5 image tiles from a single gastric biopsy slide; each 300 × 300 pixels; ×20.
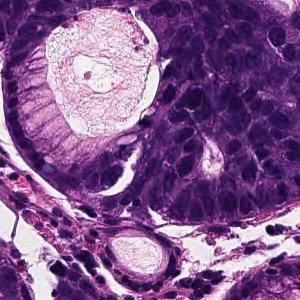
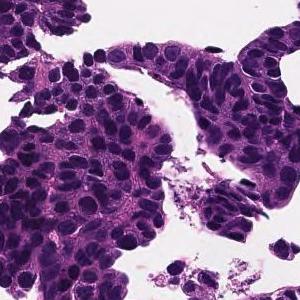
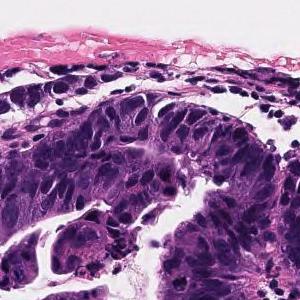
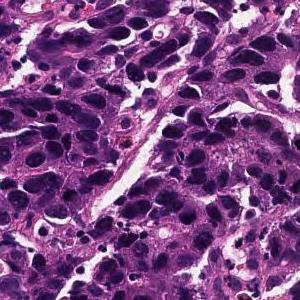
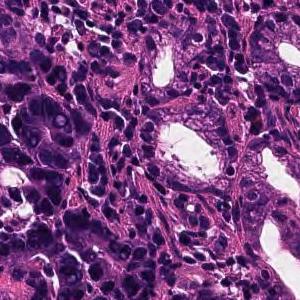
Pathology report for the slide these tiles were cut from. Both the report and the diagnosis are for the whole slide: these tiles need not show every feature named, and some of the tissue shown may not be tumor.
In the superficial epithelium, tumor tissue that invades by forming medium-sized to small, irregular ducts is observed. moderately differentiated tubular adenocarcinoma.
